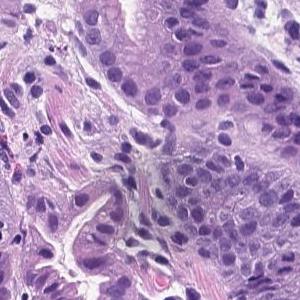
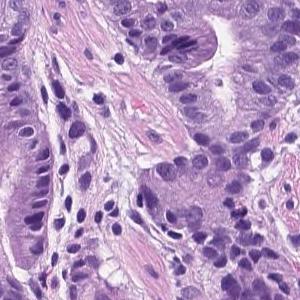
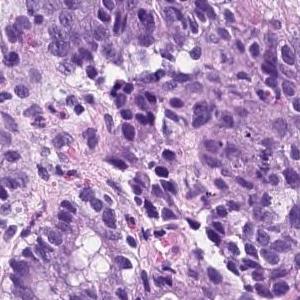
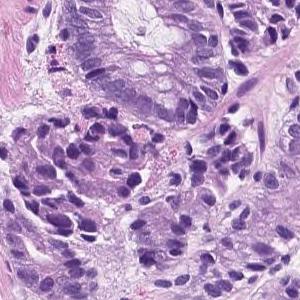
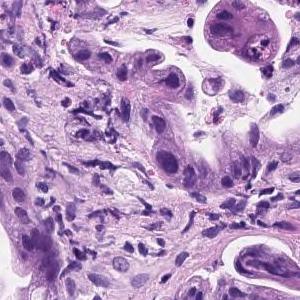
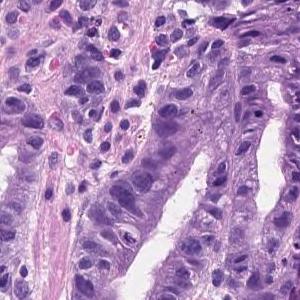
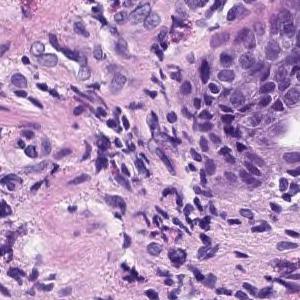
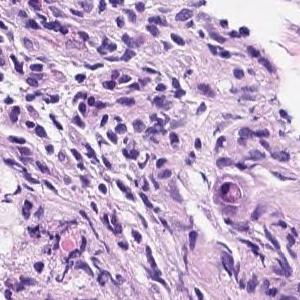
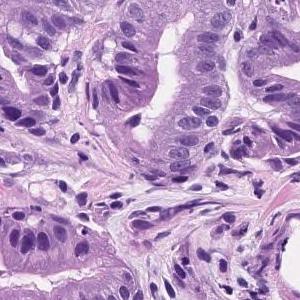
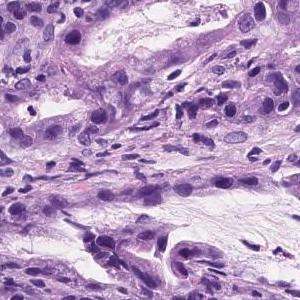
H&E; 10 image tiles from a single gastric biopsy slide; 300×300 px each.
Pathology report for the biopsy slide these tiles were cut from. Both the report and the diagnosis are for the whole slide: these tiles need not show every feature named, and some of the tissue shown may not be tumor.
Tumor tissue consisting of medium-sized and irregular ducts is observed infiltrating in the superficial epithelium. Tumor cells are highly columnar, with nuclei aligned basolaterally and polarized. Well differentiated tubular adenocarcinoma.
